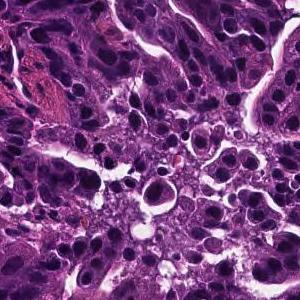
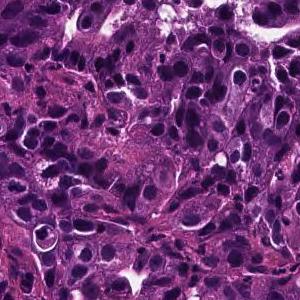
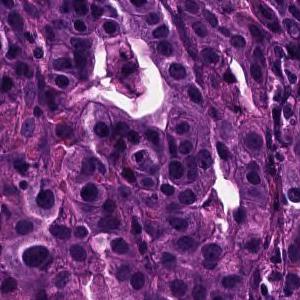
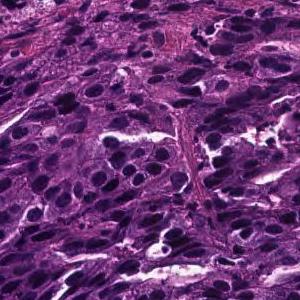
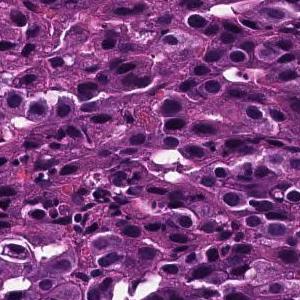
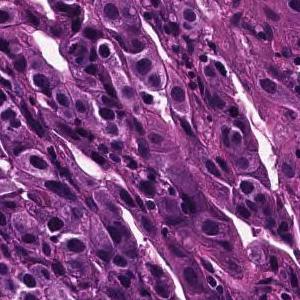
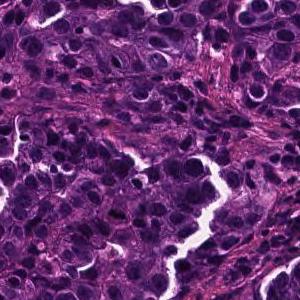
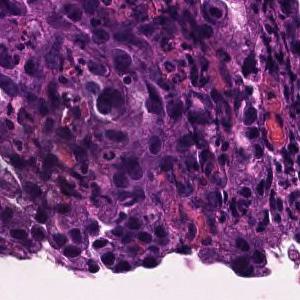
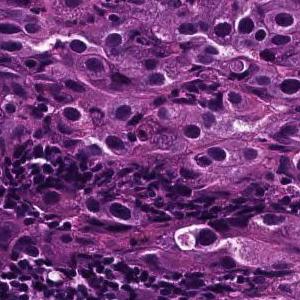
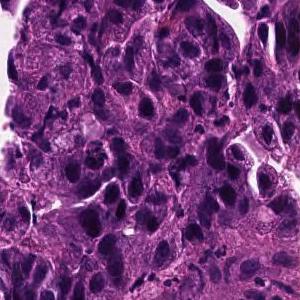
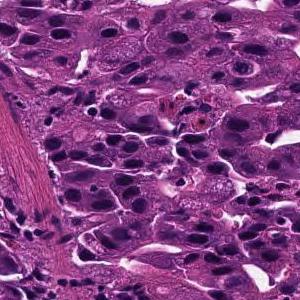
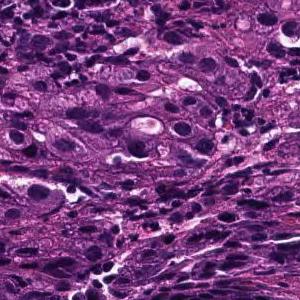
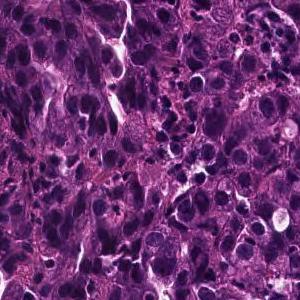
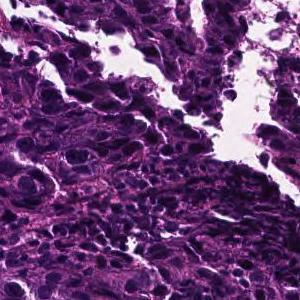
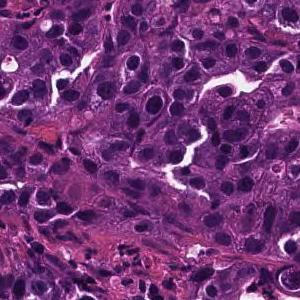
15 tiles from the same stomach biopsy slide · H&E.
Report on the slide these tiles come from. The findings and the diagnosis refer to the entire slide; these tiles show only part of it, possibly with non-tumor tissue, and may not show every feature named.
Tumor tissue consisting of medium-sized, cord-like or irregular glandular fusion and infiltration is observed in the superficial epithelium. Poorly differentiated adenocarcinoma, non-solid type or moderately differentiated tubular adenocarcinoma
Histological subtype: Moderately to poorly differentiated adenocarcinoma.
The term "non-solid type" comes from the Japanese Classification of Gastric Carcinoma.
